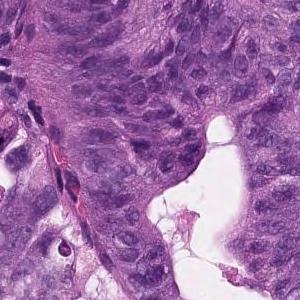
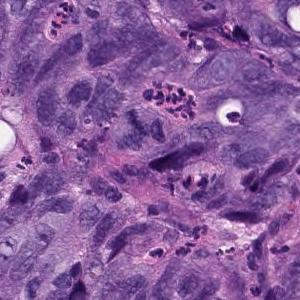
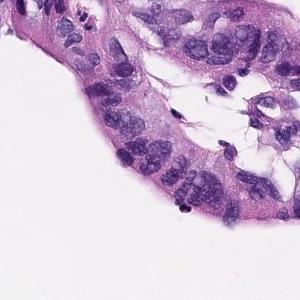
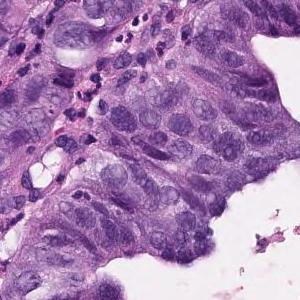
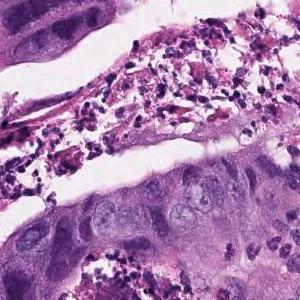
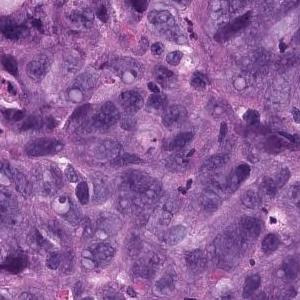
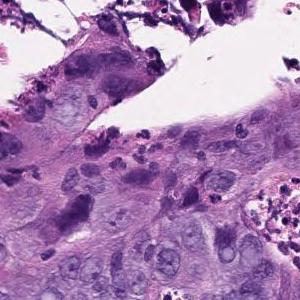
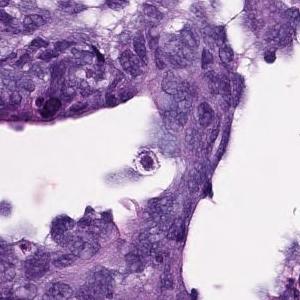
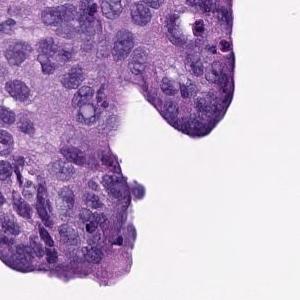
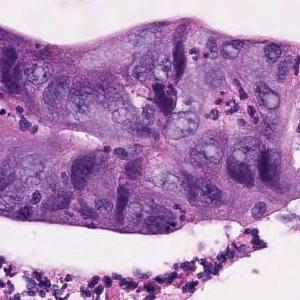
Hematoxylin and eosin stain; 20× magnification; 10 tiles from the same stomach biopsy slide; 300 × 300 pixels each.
Diagnostic report for the slide these tiles come from. The report and the diagnosis describe the slide as a whole, so these tiles may not show every feature named and may include non-tumor tissue.
In the superficial epithelium, tumor tissue that invades by forming medium-sized to small, irregular ducts is observed. Moderately differentiated adenocarcinoma.
Histological subtype: Moderately differentiated tubular adenocarcinoma.
